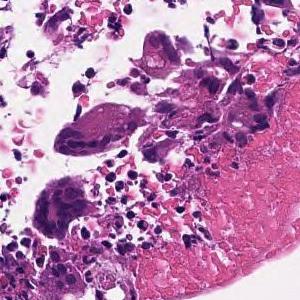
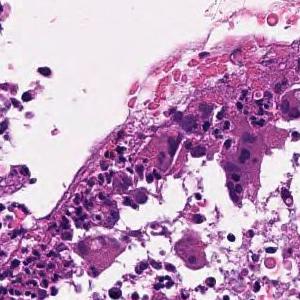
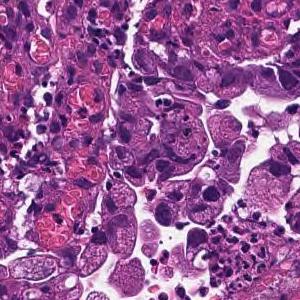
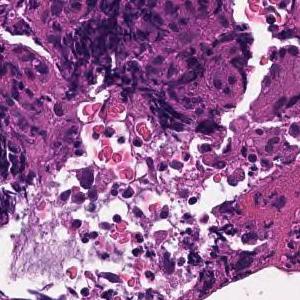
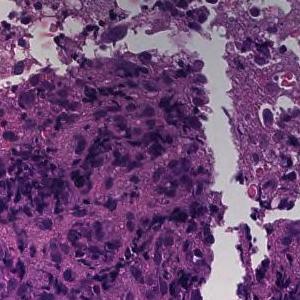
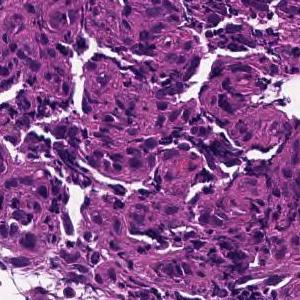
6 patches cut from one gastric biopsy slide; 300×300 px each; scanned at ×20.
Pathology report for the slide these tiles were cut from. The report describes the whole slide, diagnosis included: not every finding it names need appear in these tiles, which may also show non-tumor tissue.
Tumor cells are medium to large, cuboidal, and have little tendency to differentiate. Poorly differentiated adenocarcinoma, solid-type  or moderately differentiated tubular adenocarcinoma
Labeled in the dataset as poorly differentiated adenocarcinoma, solid type (Japanese Classification of Gastric Carcinoma). The WHO 2019 equivalent is tubular adenocarcinoma, poorly differentiated.
